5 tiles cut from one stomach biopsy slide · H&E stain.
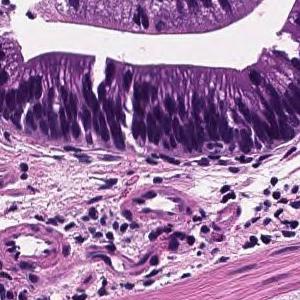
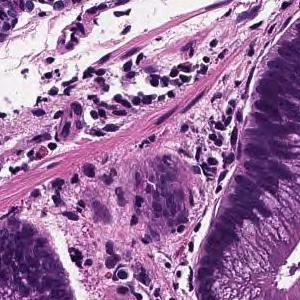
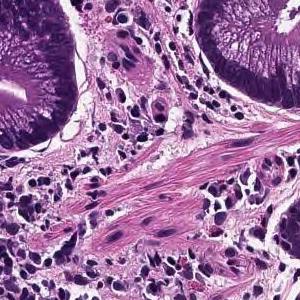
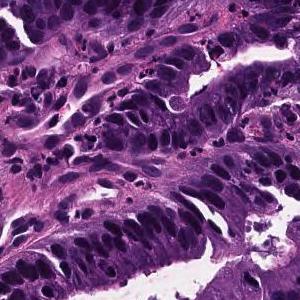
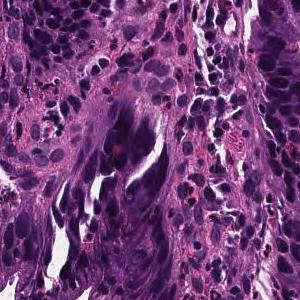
Report on the slide these tiles come from. The report and the diagnosis cover the entire slide, so not every feature they name need be visible here, and some tissue shown may not be tumor.
Tumor cells are large, highly columnar, large club-shaped nuclei, and are associated with chromatin aggregation. Papillary adenocarcinoma.
